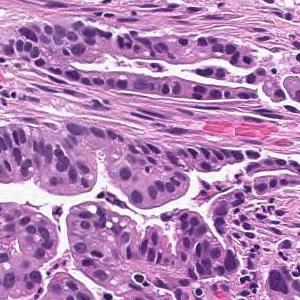
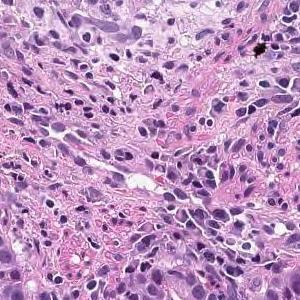
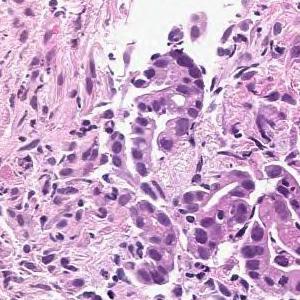
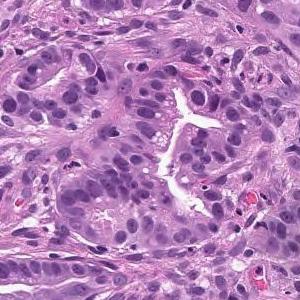
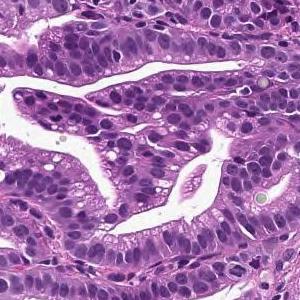
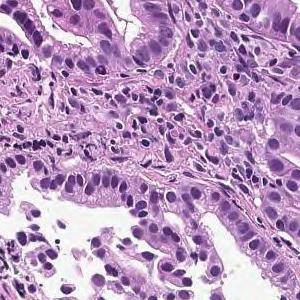
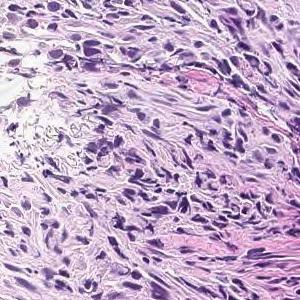
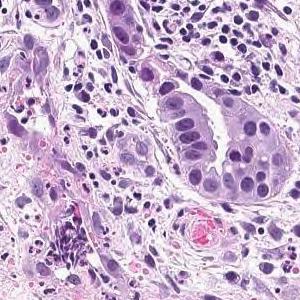
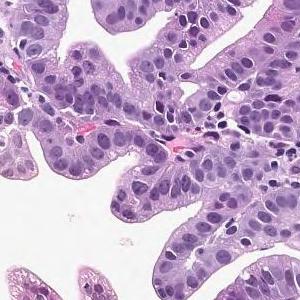
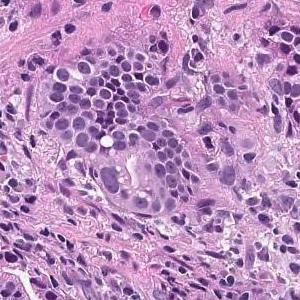
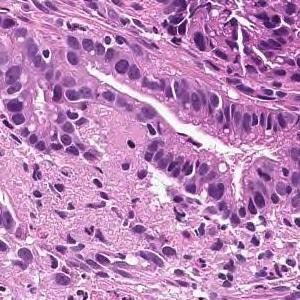
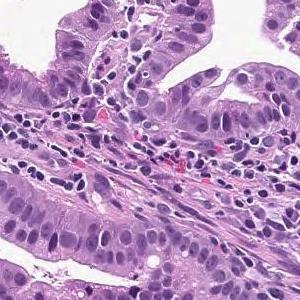
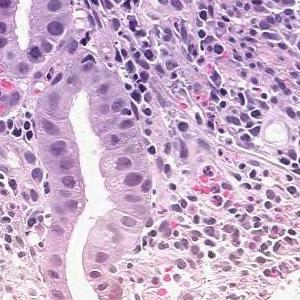
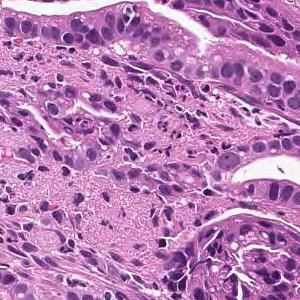
14 patches cut from one gastric biopsy slide; scanned at ×20; H&E stain.
Pathology report for the slide these tiles were cut from. The findings and the diagnosis refer to the entire slide; these tiles show only part of it, possibly with non-tumor tissue, and may not show every feature named.
On the superficial epithelium, tumor tissue that infiltrates by forming medium-sized papillary or small irregular ducts is observed. Papillary adenocarcinoma
